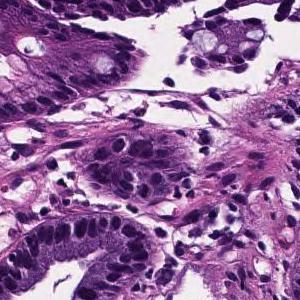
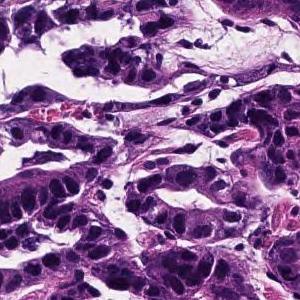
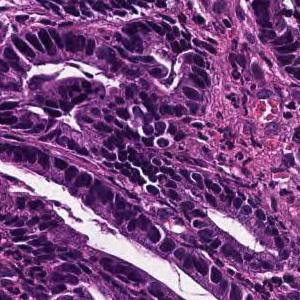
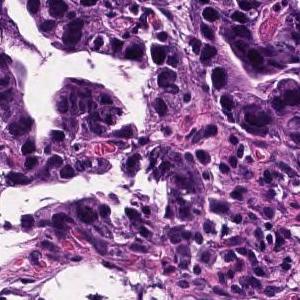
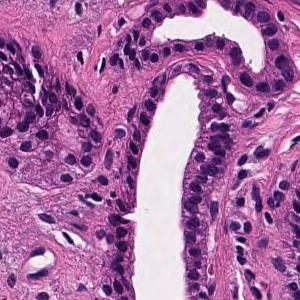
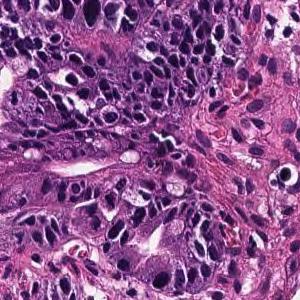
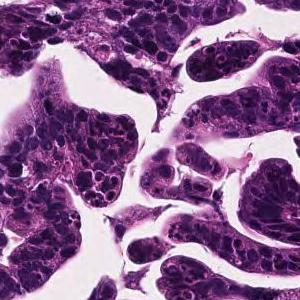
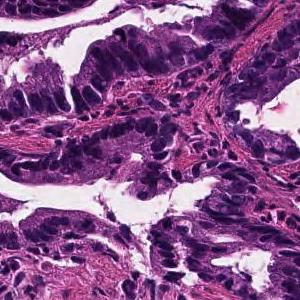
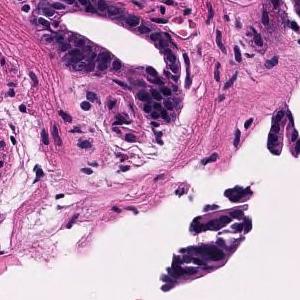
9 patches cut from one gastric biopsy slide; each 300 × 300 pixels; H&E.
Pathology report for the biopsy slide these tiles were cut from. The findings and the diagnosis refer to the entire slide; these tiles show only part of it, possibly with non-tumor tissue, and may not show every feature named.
Tumor cells are large, highly columnar, large club-shaped nuclei, and are associated with chromatin aggregation. Papillary adenocarcinoma.
